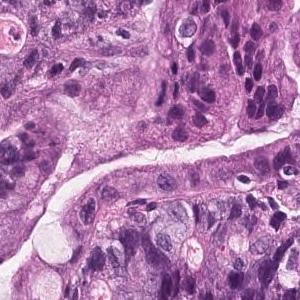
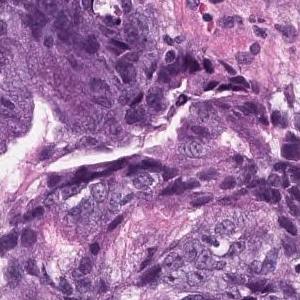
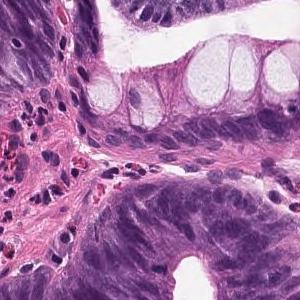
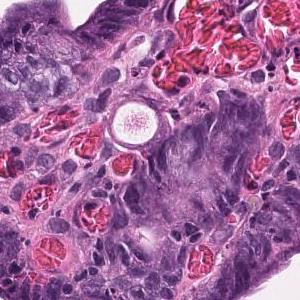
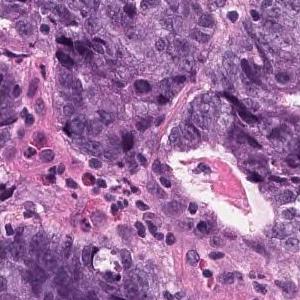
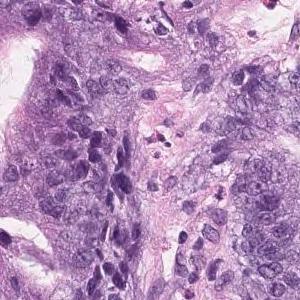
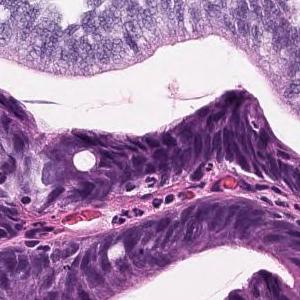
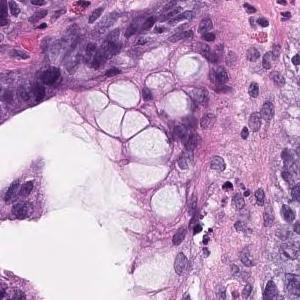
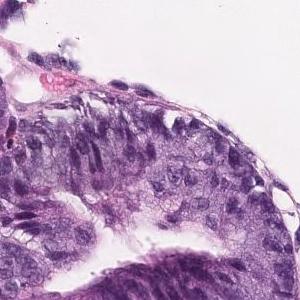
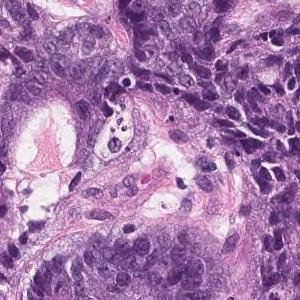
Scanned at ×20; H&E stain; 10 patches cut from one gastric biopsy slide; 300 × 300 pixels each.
The pathologist's report on the biopsy slide these tiles were taken from. The report and the diagnosis describe the slide as a whole, so these tiles may not show every feature named and may include non-tumor tissue.
Large atypical epithelial cells with swollen atypical nuclei are seen proliferating into a tubular fusion gland. moderately differentiated tubular adenocarcinoma
